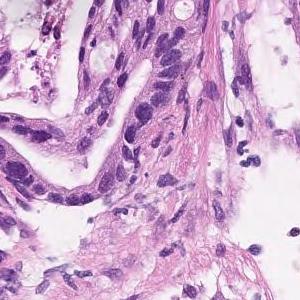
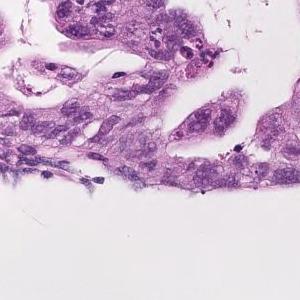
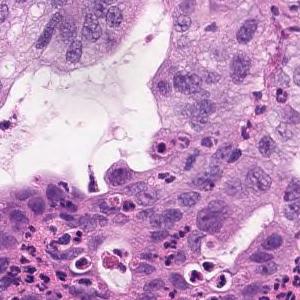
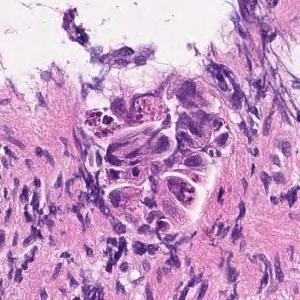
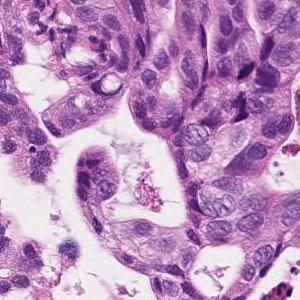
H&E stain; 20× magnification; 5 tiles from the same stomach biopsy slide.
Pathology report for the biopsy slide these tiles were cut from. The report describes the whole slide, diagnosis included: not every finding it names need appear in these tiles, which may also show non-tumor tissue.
Atypical epithelium forming papillary or sieving ducts and infiltrating growth is observed. Papillary adenocarcinoma.
